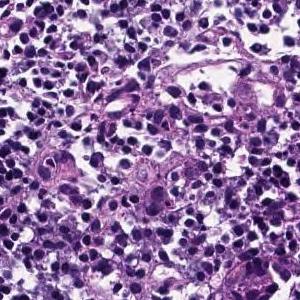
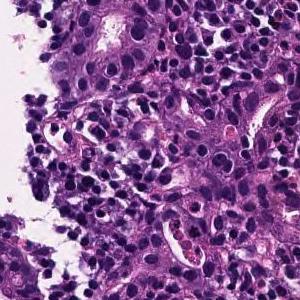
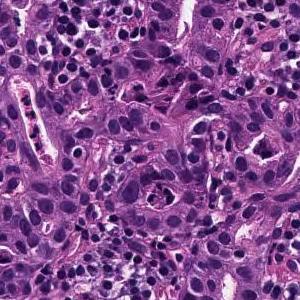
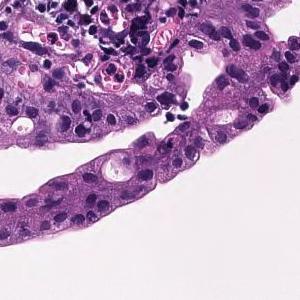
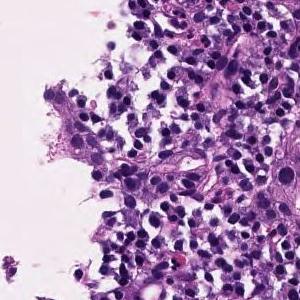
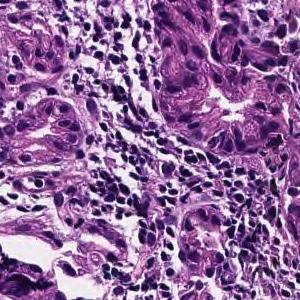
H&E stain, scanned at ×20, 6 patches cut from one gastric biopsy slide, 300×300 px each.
The pathologist's report on the biopsy slide these tiles were taken from. What the report and the diagnosis say applies to the whole slide; these tiles may miss some of the features named and may include tissue that is not tumor.
Medium to small, irregular glandular ducts are formed in the superficial epithelium, and in some cases, the glandular ducts are fused to show solid alveolar lesions and infiltrating tumor tissue is observed. Moderately to poorly differentiated adenocarcinoma.
